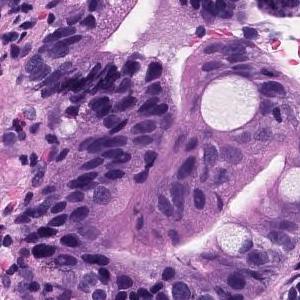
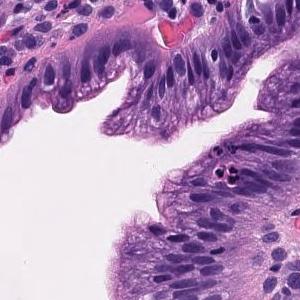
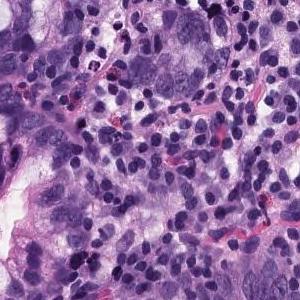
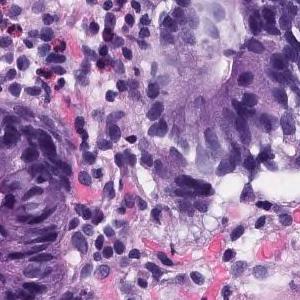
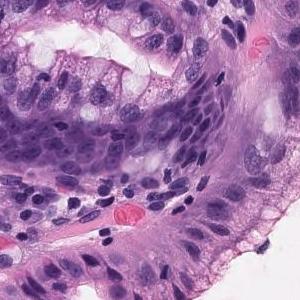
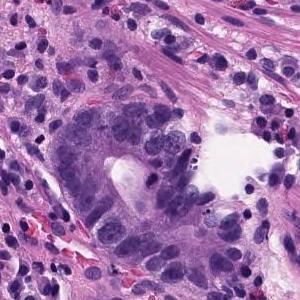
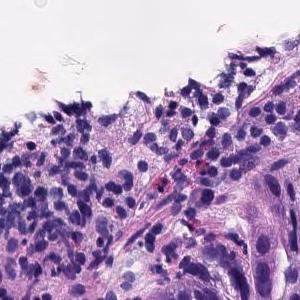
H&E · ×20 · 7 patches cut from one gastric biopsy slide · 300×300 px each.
Report on the slide these tiles come from. Both the report and the diagnosis are for the whole slide: these tiles need not show every feature named, and some of the tissue shown may not be tumor.
Tumor cells with strong nuclear atypia proliferate invasively, forming small to medium-sized irregular shaped ducts. moderately differentiated tubular adenocarcinoma
